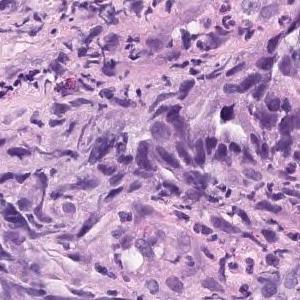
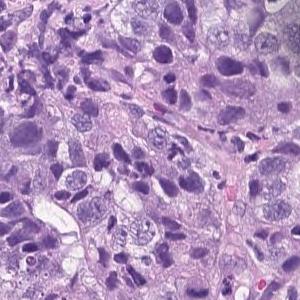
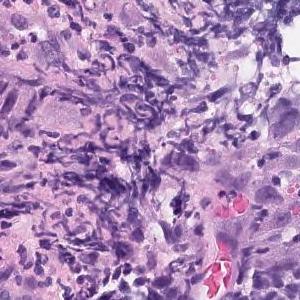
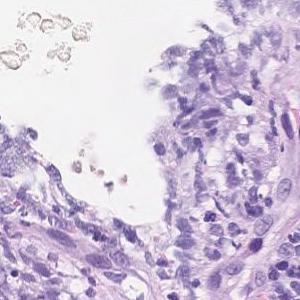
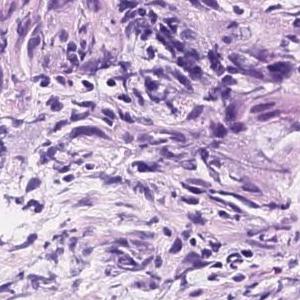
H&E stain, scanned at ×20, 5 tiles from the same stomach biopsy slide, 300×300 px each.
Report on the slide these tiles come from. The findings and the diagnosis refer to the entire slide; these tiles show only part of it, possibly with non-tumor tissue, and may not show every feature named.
Atypical epithelial cells infiltrating and proliferating diffusely or while forming vesicles is observed. Poorly differentiated adenocarcinoma (poorly differentiated adenocarcinoma, solid type moderately differentiated tubular adenocarcinoma)
Dataset label: poorly differentiated adenocarcinoma, solid type. This name comes from the Japanese Classification of Gastric Carcinoma; the WHO 2019 classification calls it tubular adenocarcinoma, poorly differentiated.
